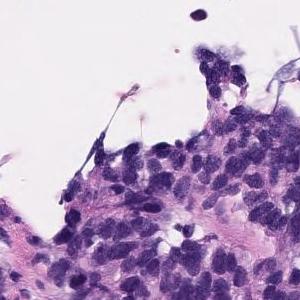
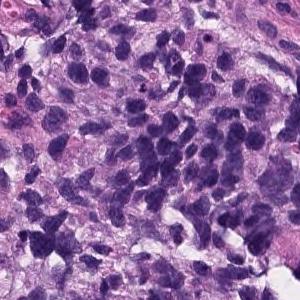
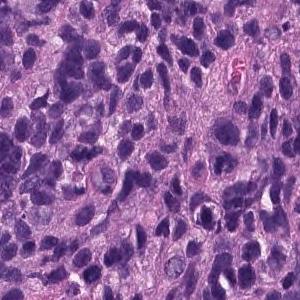
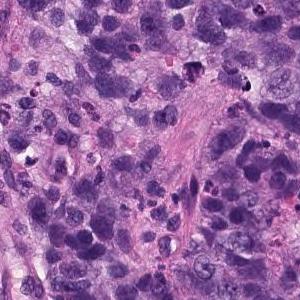
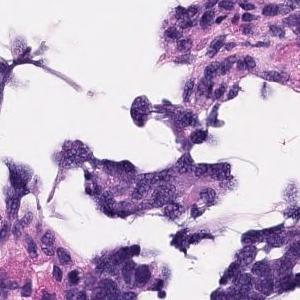
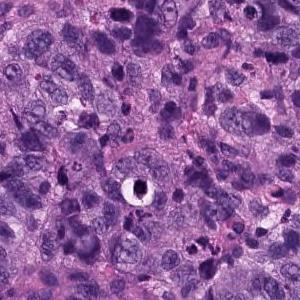
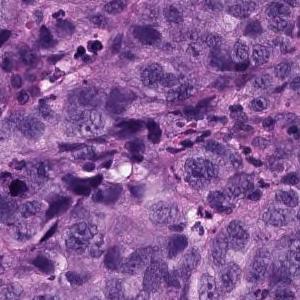
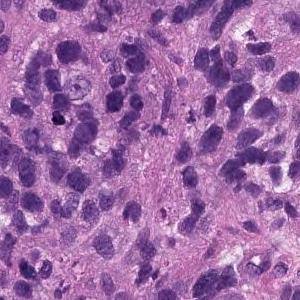
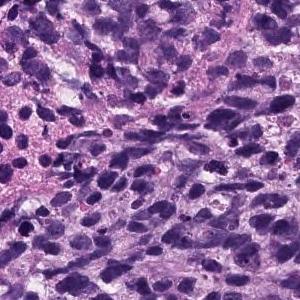
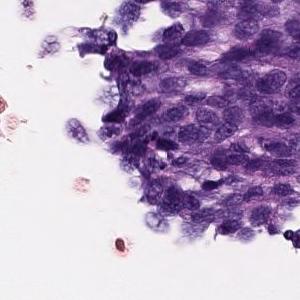
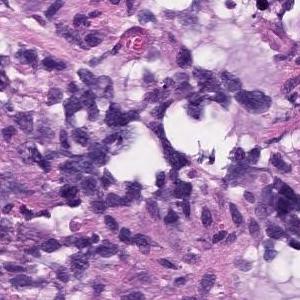
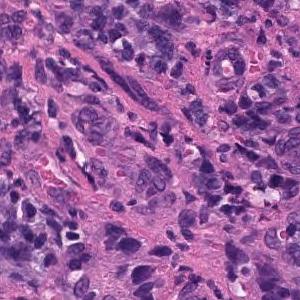
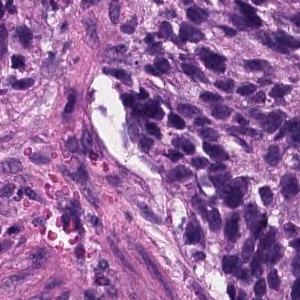
13 tiles cut from one stomach biopsy slide; H&E stain.
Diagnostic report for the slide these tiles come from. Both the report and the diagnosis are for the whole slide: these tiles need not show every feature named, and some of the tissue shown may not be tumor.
Atypical l cells with atypical nuclei under the mucosa growing in isolation and scattered. Poorly differentiated adenocarcinoma (poorly differentiated adenocarcinoma, non-solid type)
Classified as poorly differentiated adenocarcinoma, non-solid type.
"Non-solid type" is a category of the Japanese Classification of Gastric Carcinoma.
